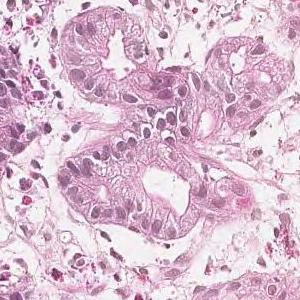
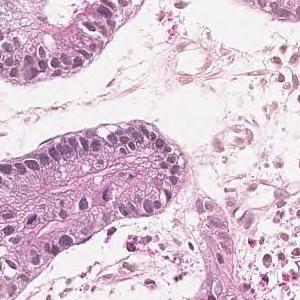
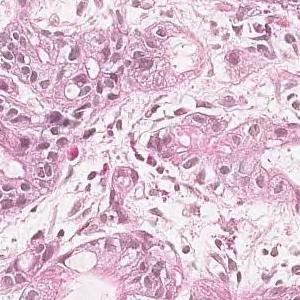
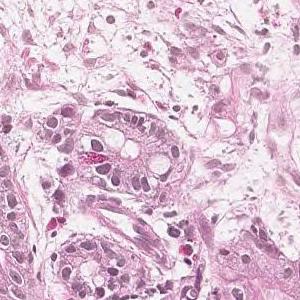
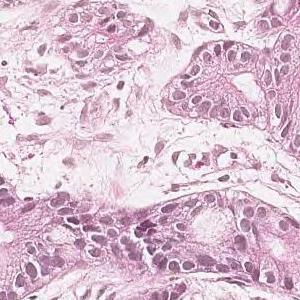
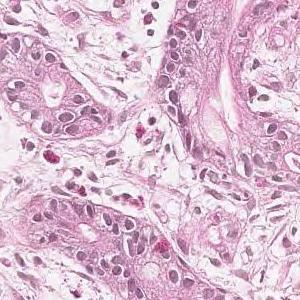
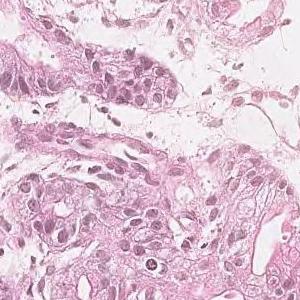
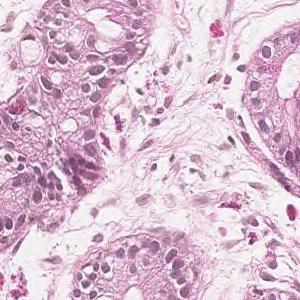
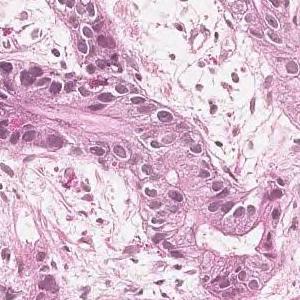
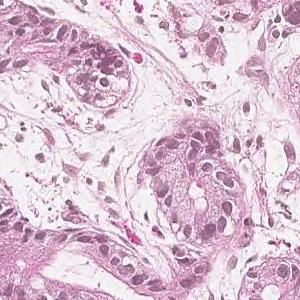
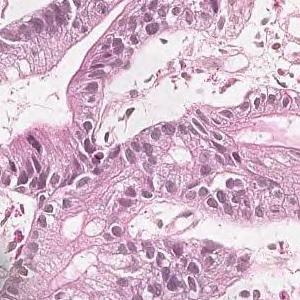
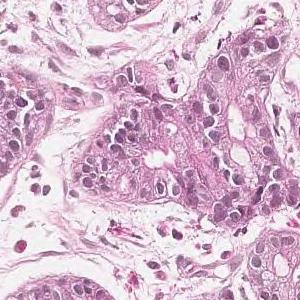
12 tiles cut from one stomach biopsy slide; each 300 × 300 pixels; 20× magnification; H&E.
The pathologist's report on the biopsy slide these tiles were taken from. Both the report and the diagnosis are for the whole slide: these tiles need not show every feature named, and some of the tissue shown may not be tumor.
On the superficial epithelium, tumor tissue that infiltrates by forming medium-sized papillary or small irregular ducts is observed. Papillary adenocarcinoma
